Hematoxylin and eosin stain, scanned at ×20, 16 tiles cut from one stomach biopsy slide, each 300 × 300 pixels.
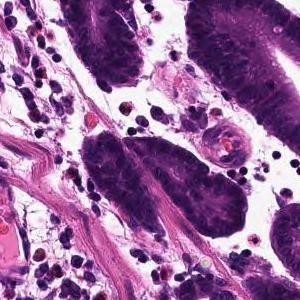
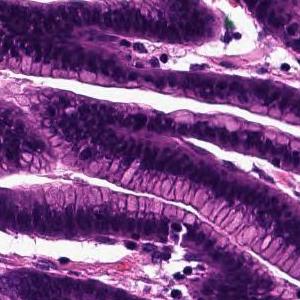
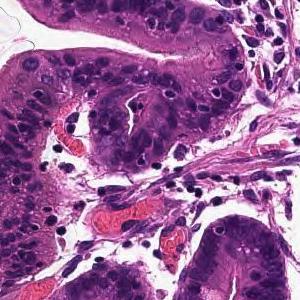
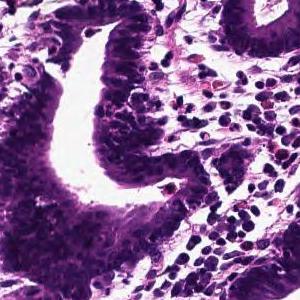
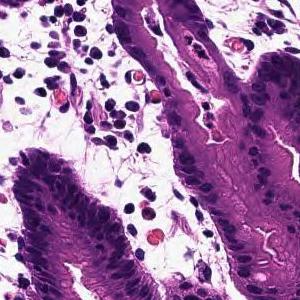
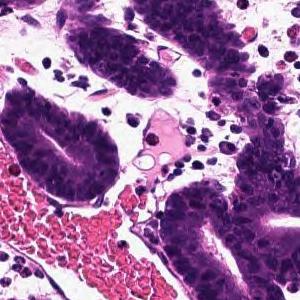
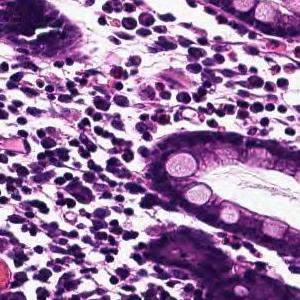
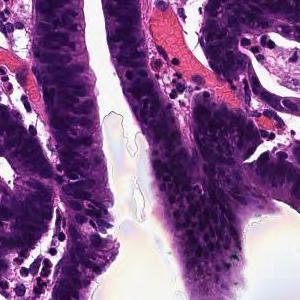
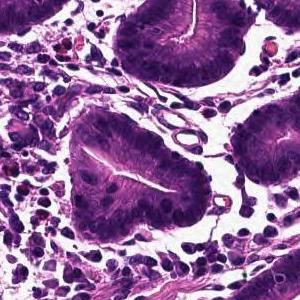
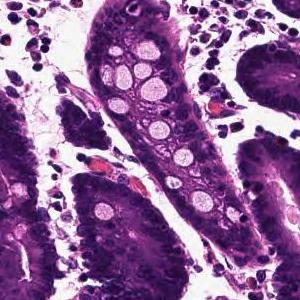
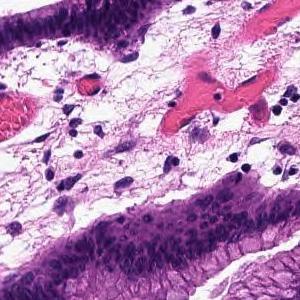
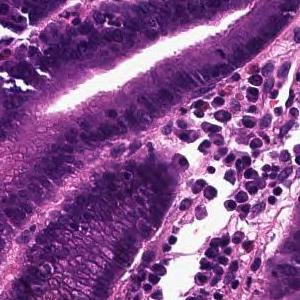
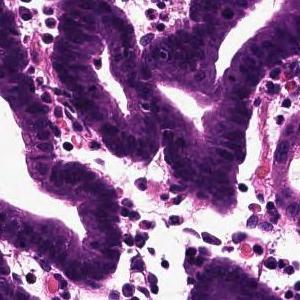
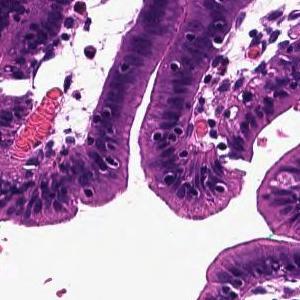
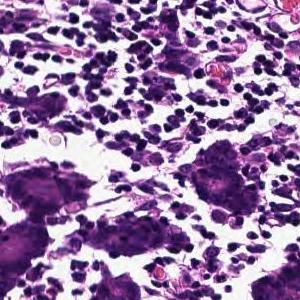
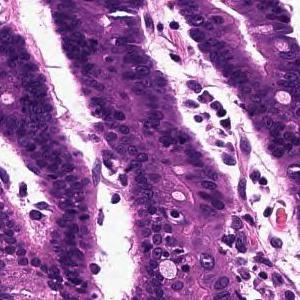
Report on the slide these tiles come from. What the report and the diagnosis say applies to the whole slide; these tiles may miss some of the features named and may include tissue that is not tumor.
Tumor tissue that infiltrates by forming large papillary or large irregular glandular ducts is observed confined to the mucosa. Papillary adenocarcinoma
